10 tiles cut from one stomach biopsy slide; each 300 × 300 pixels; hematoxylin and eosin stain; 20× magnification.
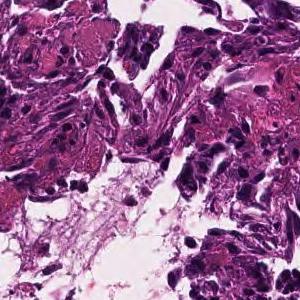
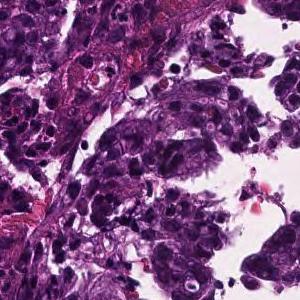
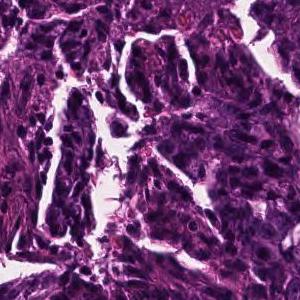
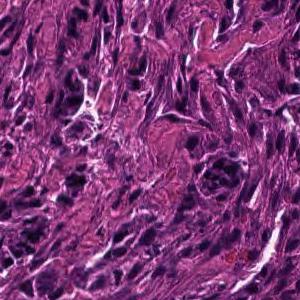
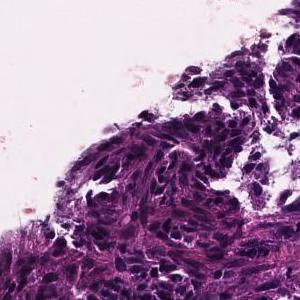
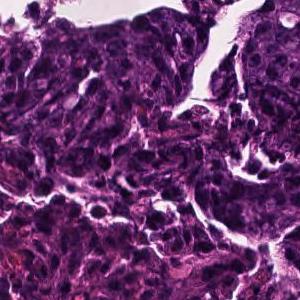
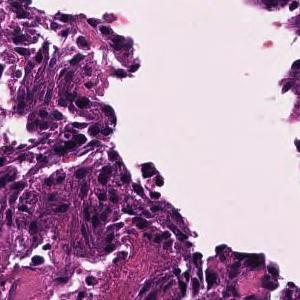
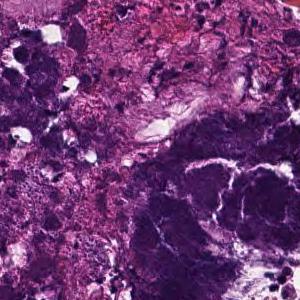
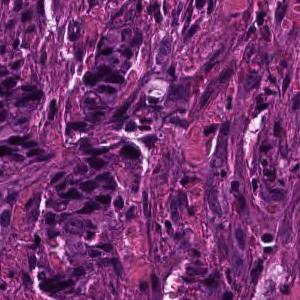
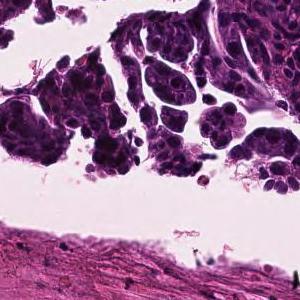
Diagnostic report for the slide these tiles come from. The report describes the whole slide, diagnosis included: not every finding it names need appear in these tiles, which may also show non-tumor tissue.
Tumor tissue consisting of medium-sized, cord-like or irregular glandular infiltration is observed in the superficial epithelium. Poorly differentiated adenocarcinoma, non-solid type or moderately differentiated tubular adenocarcinoma
Subtype: Moderately to poorly differentiated adenocarcinoma.
The non-solid type named here is a Japanese Classification of Gastric Carcinoma category.
